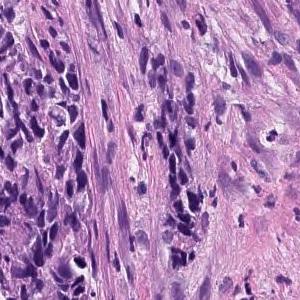
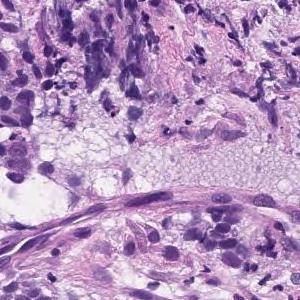
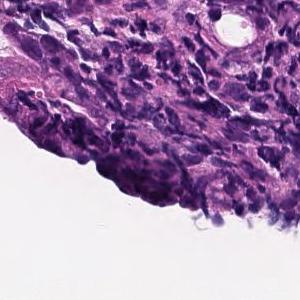
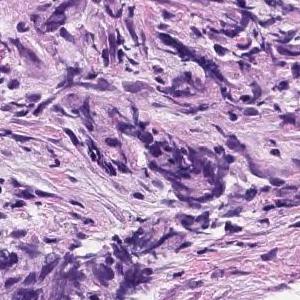
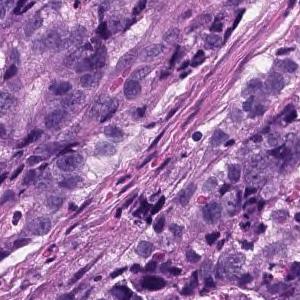
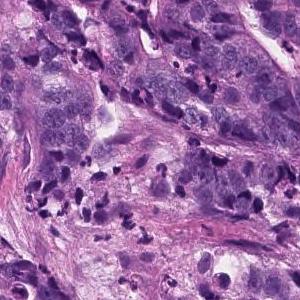
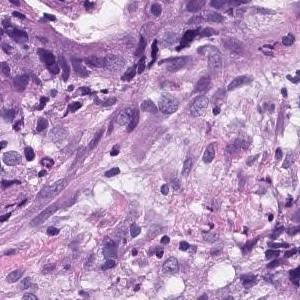
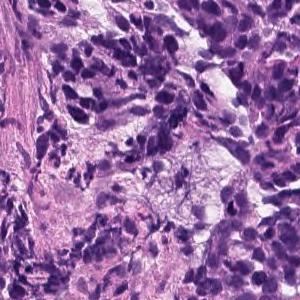
Scanned at ×20 · H&E stain · 8 patches cut from one gastric biopsy slide.
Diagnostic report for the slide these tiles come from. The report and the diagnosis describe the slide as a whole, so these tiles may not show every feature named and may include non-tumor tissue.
Medium to small, irregular glandular ducts are formed in the superficial epithelium, and in some cases, the glandular ducts are fused to show solid alveolar lesions and infiltrating tumor tissue is observed. Moderately to poorly differentiated adenocarcinoma.
